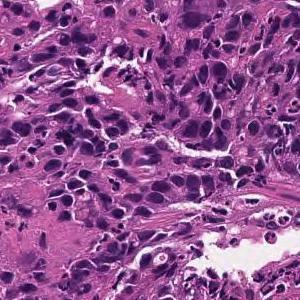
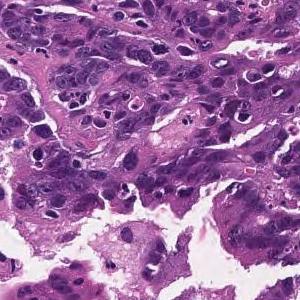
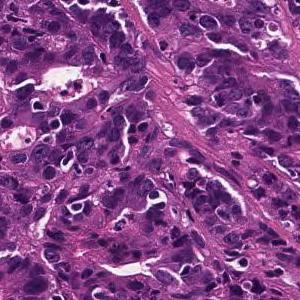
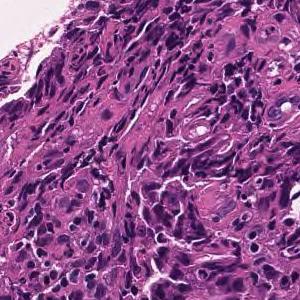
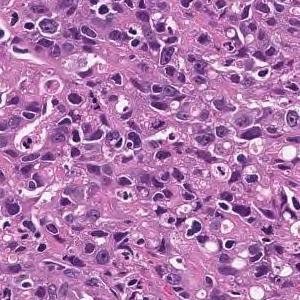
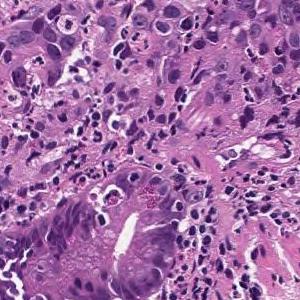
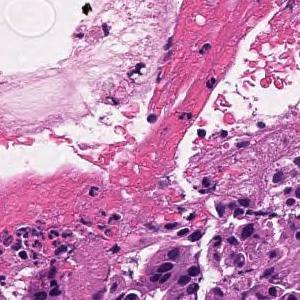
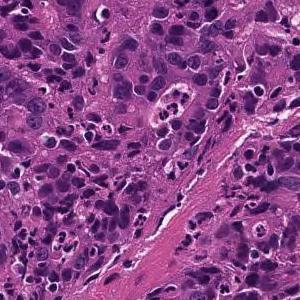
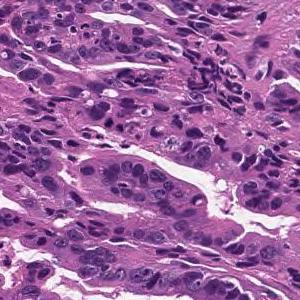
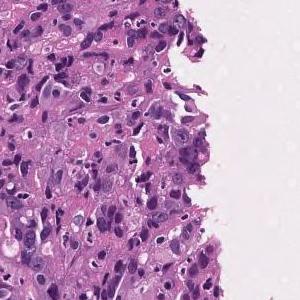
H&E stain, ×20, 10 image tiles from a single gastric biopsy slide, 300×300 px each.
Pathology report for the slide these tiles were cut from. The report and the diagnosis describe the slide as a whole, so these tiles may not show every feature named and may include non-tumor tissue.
In the superficial epithelium, tumor tissue that invades by forming medium-sized to small, irregular ducts is observed. moderately differentiated tubular adenocarcinoma.
